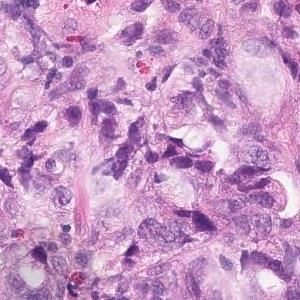
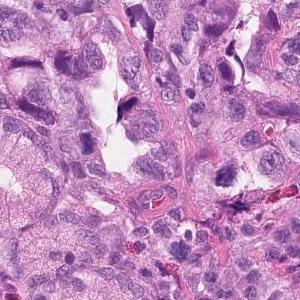
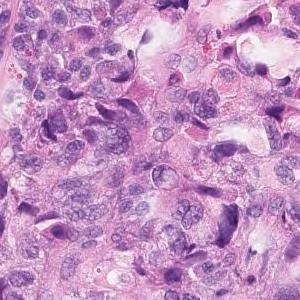
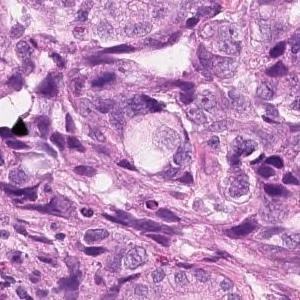
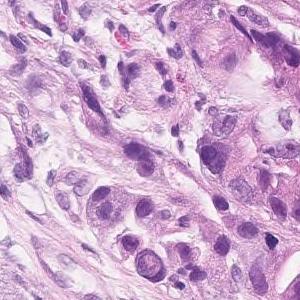
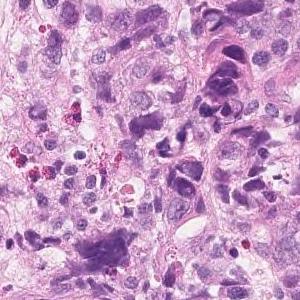
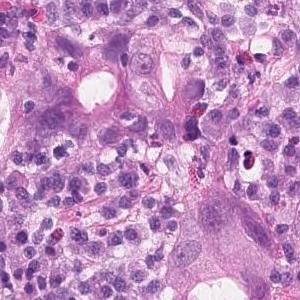
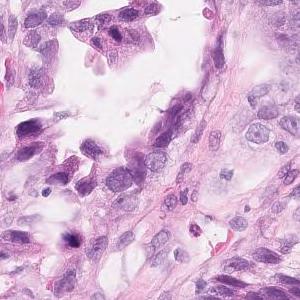
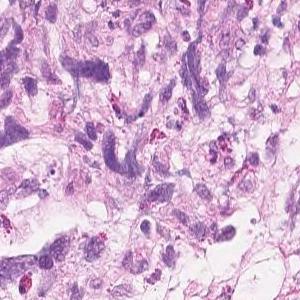
9 tiles cut from one stomach biopsy slide, H&E.
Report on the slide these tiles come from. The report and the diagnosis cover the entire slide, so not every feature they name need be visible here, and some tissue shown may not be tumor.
Tumor tissue showing dense, fused or diffuse, and infiltrative growth of small atypical ducts is observed. moderately differentiated tubular adenocarcinoma
